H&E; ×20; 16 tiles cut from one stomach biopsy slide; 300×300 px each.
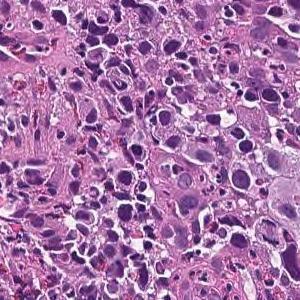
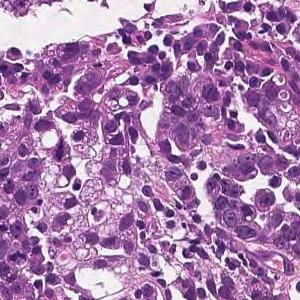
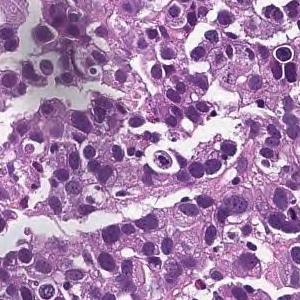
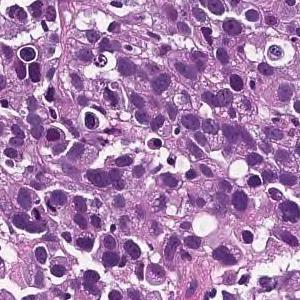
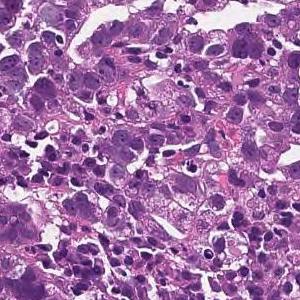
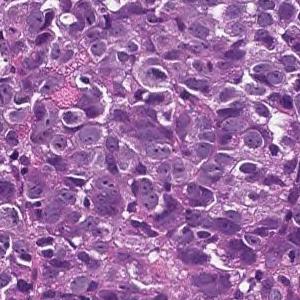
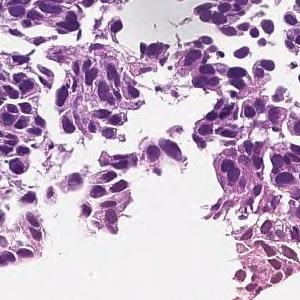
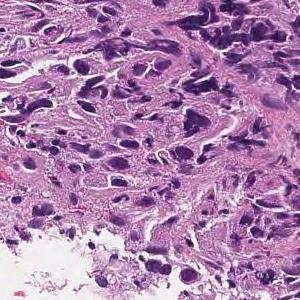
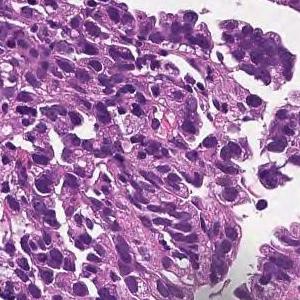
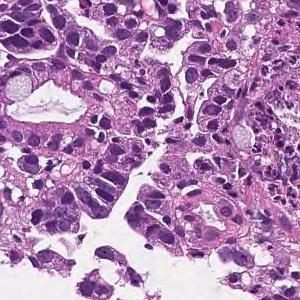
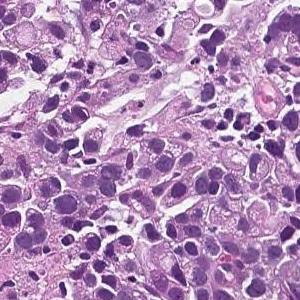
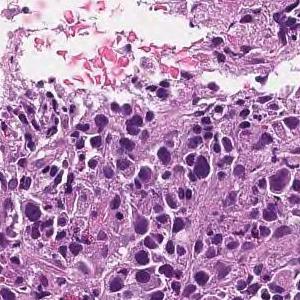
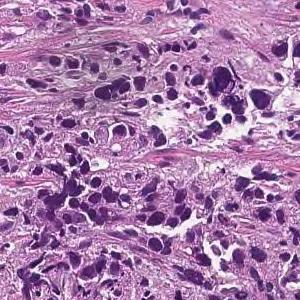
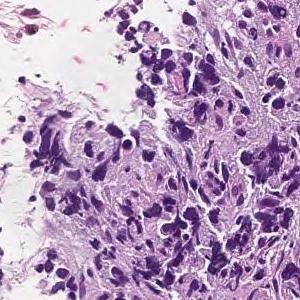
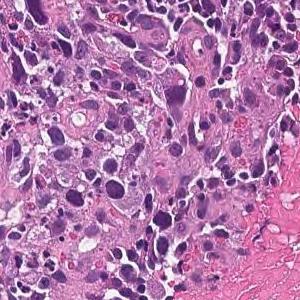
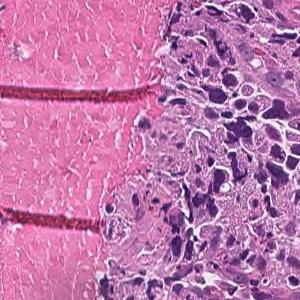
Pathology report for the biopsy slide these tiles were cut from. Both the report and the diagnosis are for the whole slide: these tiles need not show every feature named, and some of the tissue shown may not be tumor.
The superficial epithelium shows a large sheet-like shape, and some tumor tissue infiltrates with small irregular ducts. Poorly differentiated adenocarcinoma, solid-type
Histologic type: Poorly differentiated adenocarcinoma, solid type. This name comes from the Japanese Classification of Gastric Carcinoma; the WHO 2019 classification calls it tubular adenocarcinoma, poorly differentiated.
